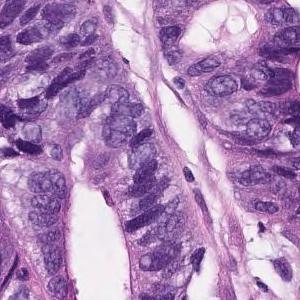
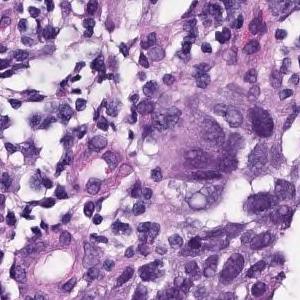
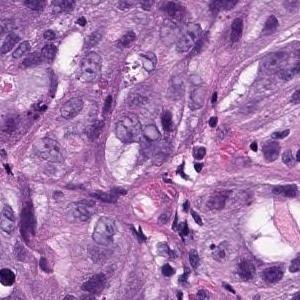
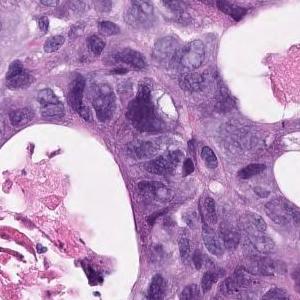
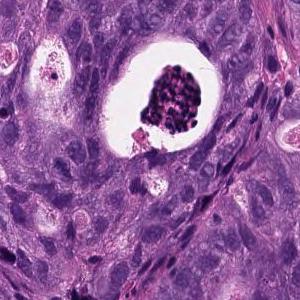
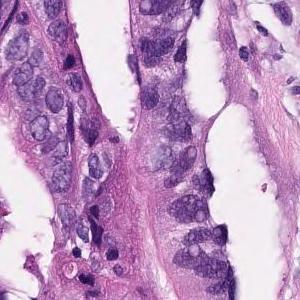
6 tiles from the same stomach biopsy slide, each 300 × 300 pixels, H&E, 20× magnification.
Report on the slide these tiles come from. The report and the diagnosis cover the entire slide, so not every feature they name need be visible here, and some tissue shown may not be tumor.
In the superficial epithelium, tumor tissue that invades by forming medium-sized to small, irregular ducts is observed. Moderately differentiated adenocarcinoma.
Subtype: Moderately differentiated tubular adenocarcinoma.
